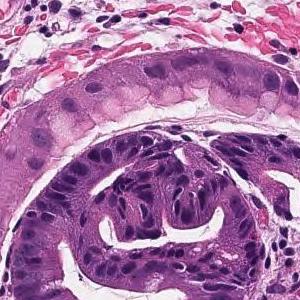
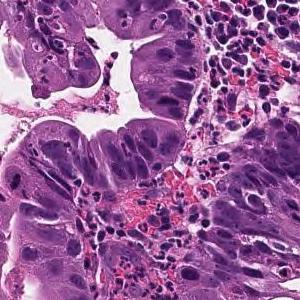
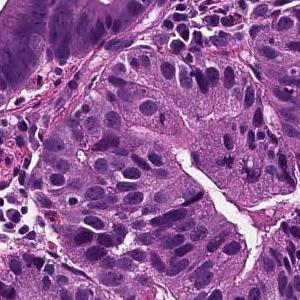
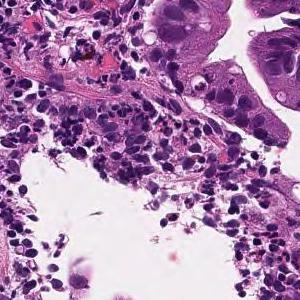
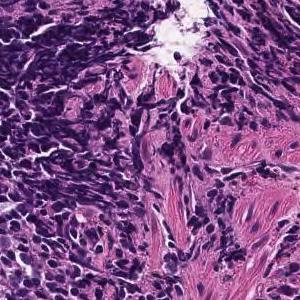
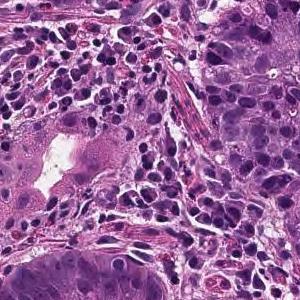
6 image tiles from a single gastric biopsy slide, each 300 × 300 pixels, scanned at ×20, H&E stain.
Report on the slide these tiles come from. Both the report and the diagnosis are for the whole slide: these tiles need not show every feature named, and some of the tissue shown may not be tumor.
From the superficial epithelium to the muscularis mucosae, tumor tissue consisting of medium-sized and irregular glandular ducts infiltrating is observed. Well differentiated tubular adenocarcinoma
